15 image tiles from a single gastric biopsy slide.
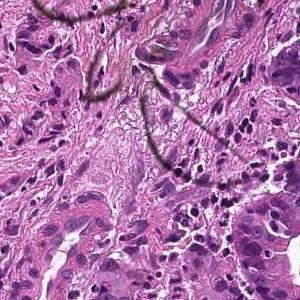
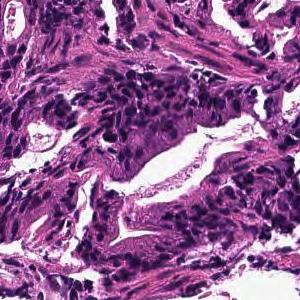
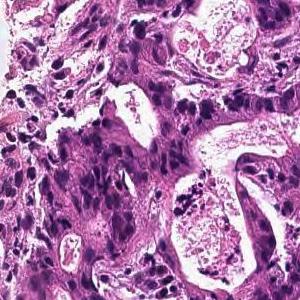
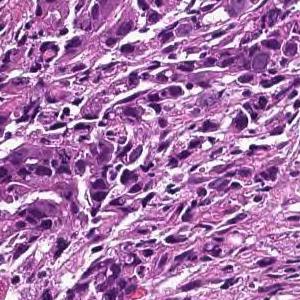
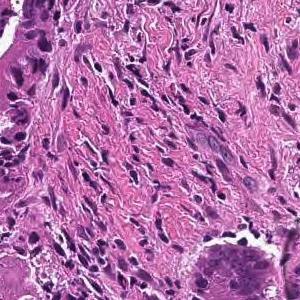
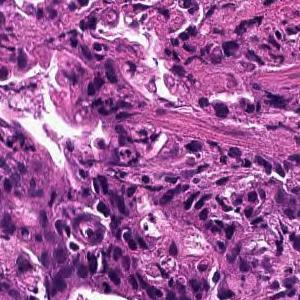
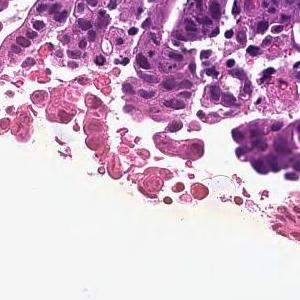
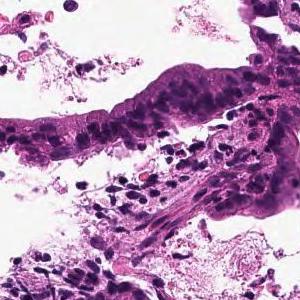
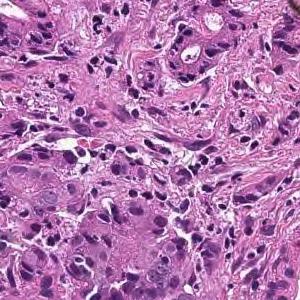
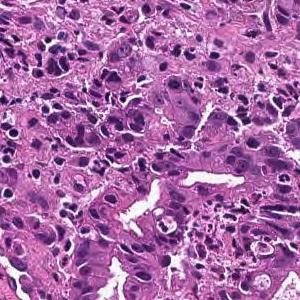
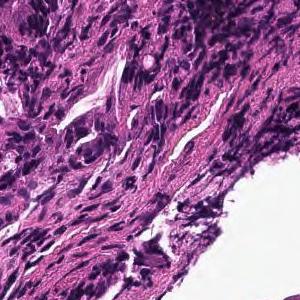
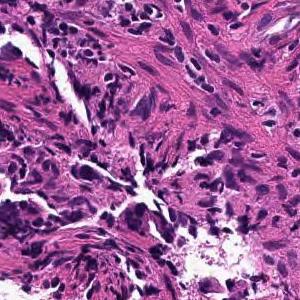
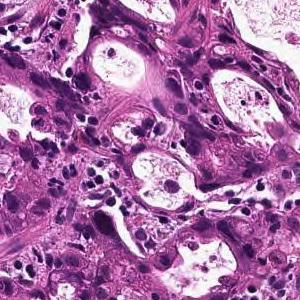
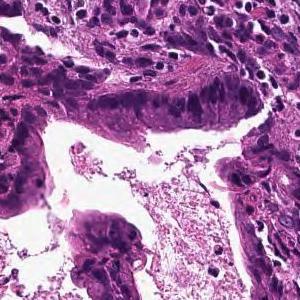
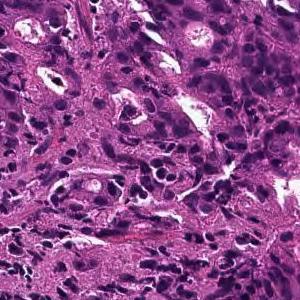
Diagnostic report for the slide these tiles come from. The report and the diagnosis describe the slide as a whole, so these tiles may not show every feature named and may include non-tumor tissue.
In the superficial epithelium, tumor tissue that invades by forming medium-sized to small, irregular ducts is observed. moderately differentiated tubular adenocarcinoma.
